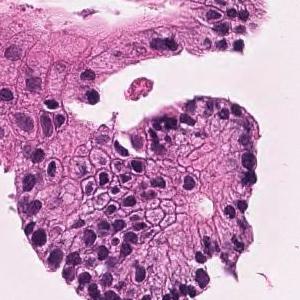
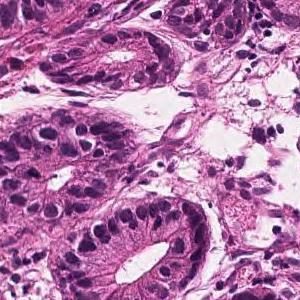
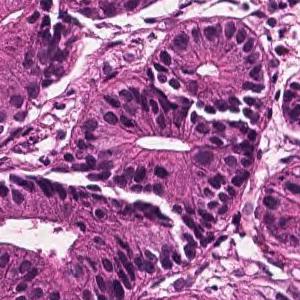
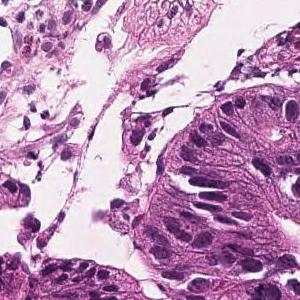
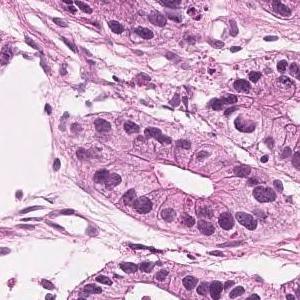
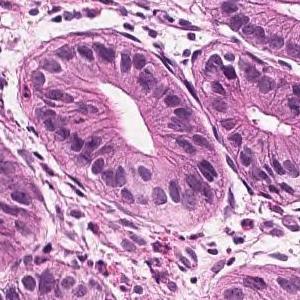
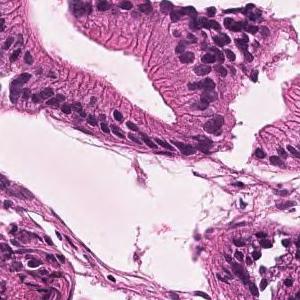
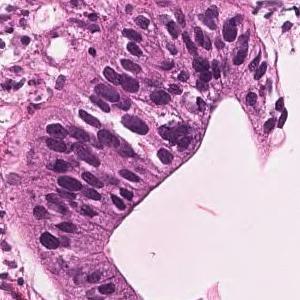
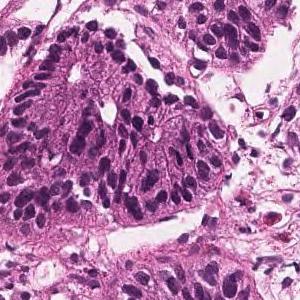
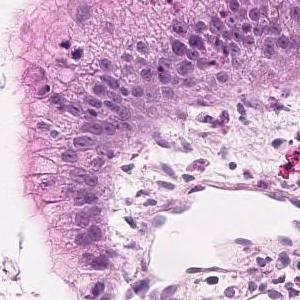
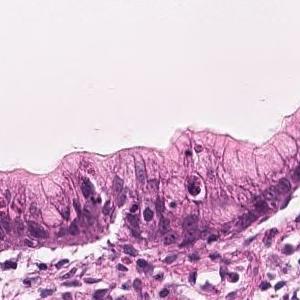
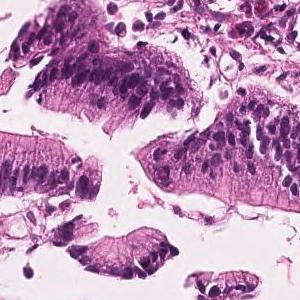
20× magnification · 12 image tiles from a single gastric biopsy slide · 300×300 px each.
Diagnostic report for the slide these tiles come from. The report and the diagnosis describe the slide as a whole, so these tiles may not show every feature named and may include non-tumor tissue.
Tumor tissue consisting of medium-sized and irregular ducts is observed infiltrating in the superficial epithelium. Tumor cells are highly columnar, with nuclei aligned basolaterally and polarized. Well differentiated tubular adenocarcinoma.
